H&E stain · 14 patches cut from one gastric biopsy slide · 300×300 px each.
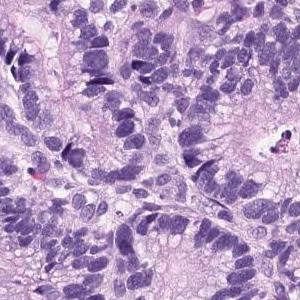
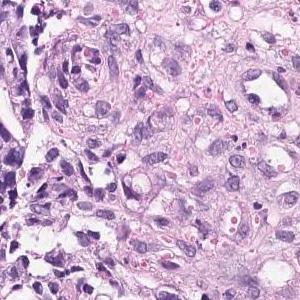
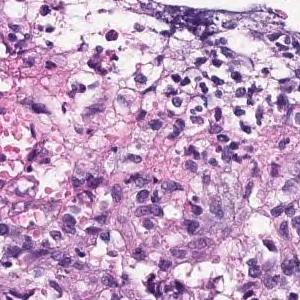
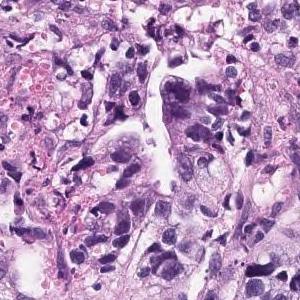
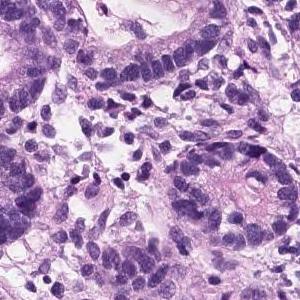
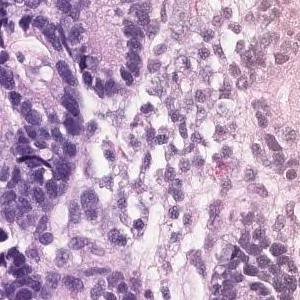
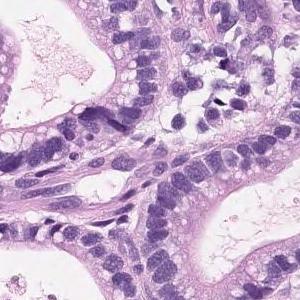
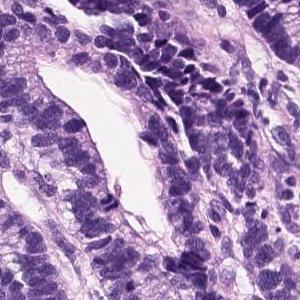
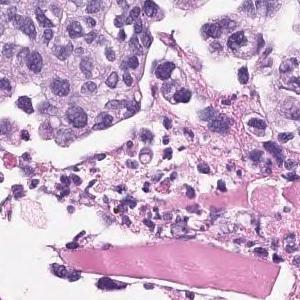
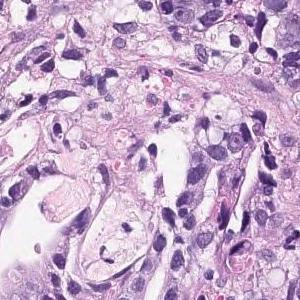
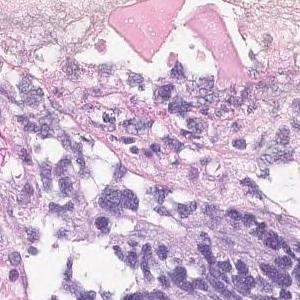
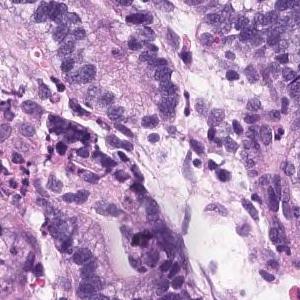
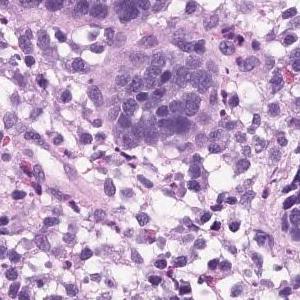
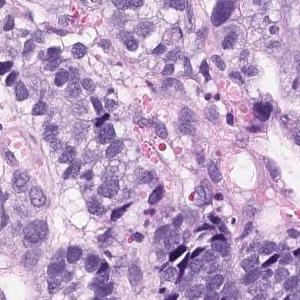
The pathologist's report on the biopsy slide these tiles were taken from. The report and the diagnosis describe the slide as a whole, so these tiles may not show every feature named and may include non-tumor tissue.
Hyperplasia of atypical epithelial cells with swelling of the nucleus is observed. Moderately diffentiated tubular adenocarcinoma
Subtype: Moderately differentiated tubular adenocarcinoma.
